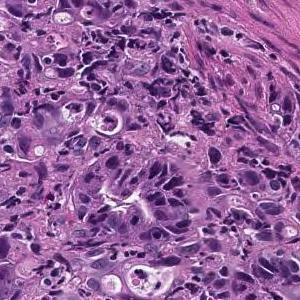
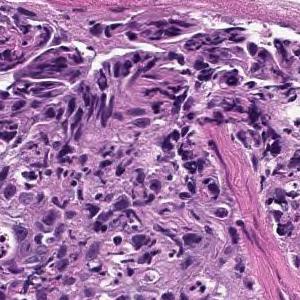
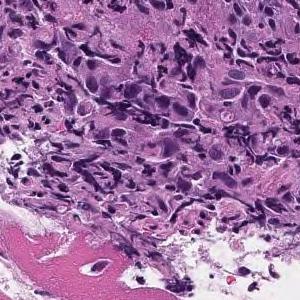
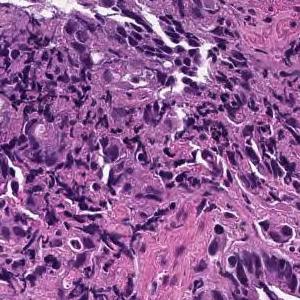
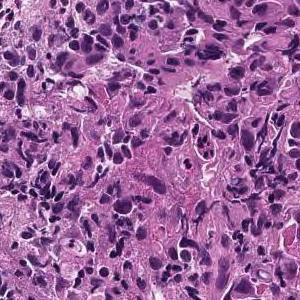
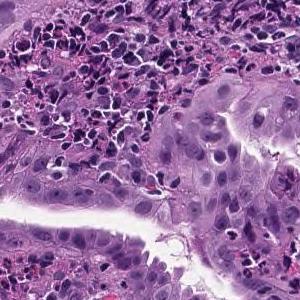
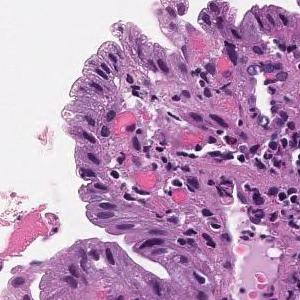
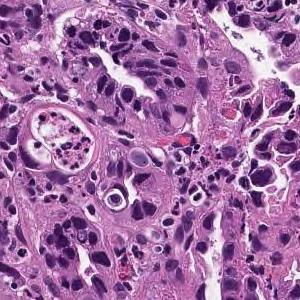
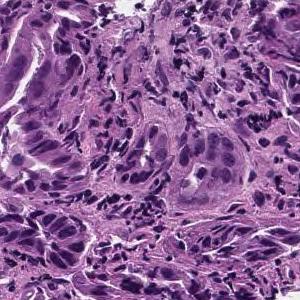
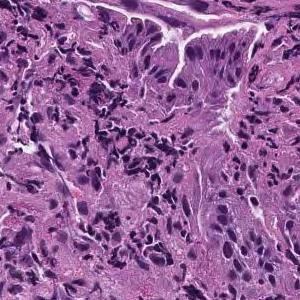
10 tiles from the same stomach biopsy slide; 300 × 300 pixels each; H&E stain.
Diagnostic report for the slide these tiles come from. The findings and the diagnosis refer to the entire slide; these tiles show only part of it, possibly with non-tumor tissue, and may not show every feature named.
On the superficial epithelium, tumor tissue consisting of large, irregular glandular ducts partially fused and infiltrated is observed. Well to moderately differentiated tubular adenocarcinoma (well differentiated tubular adenocarcinoma, moderately differentiated tubular adenocarcinoma)
Histological subtype: Well to moderately differentiated tubular adenocarcinoma.
